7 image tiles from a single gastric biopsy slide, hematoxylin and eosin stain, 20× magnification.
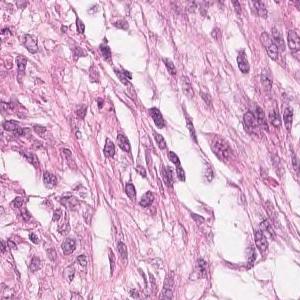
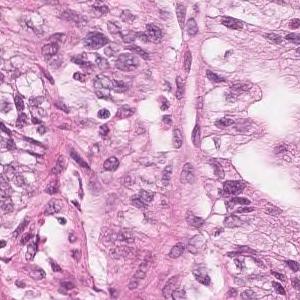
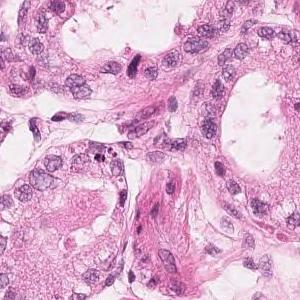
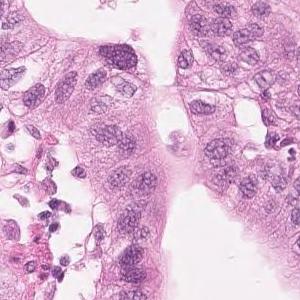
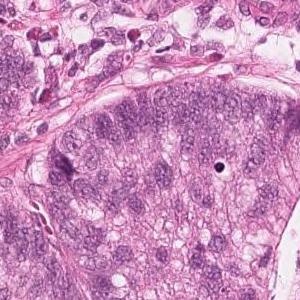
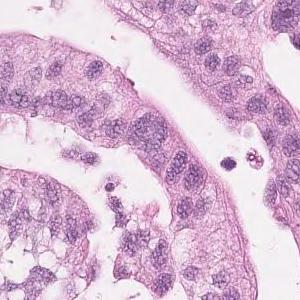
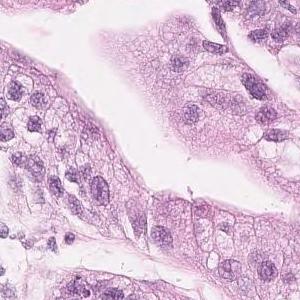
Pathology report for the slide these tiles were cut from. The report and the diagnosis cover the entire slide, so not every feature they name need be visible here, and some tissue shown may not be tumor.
Highly columnar epithelium with disordered nuclear localization proliferates showing fusion ductal construction. moderately differentiated tubular adenocarcinoma
